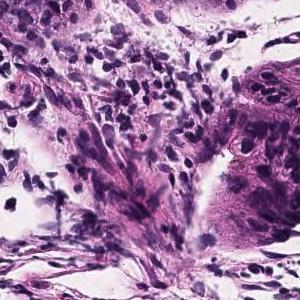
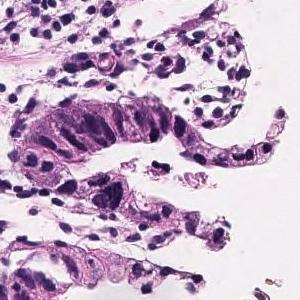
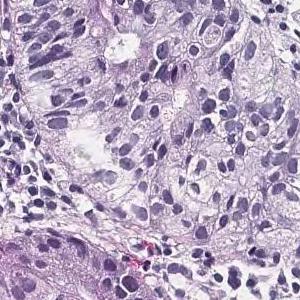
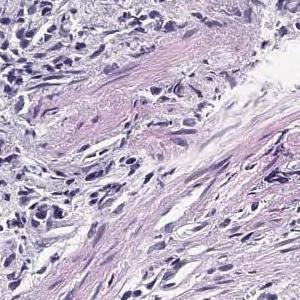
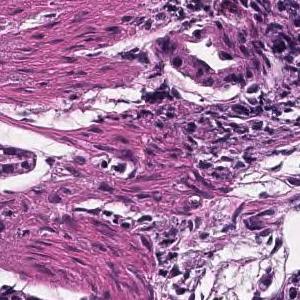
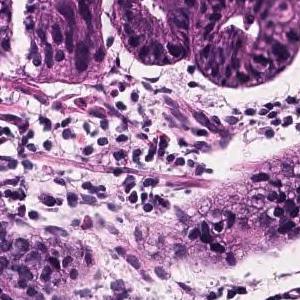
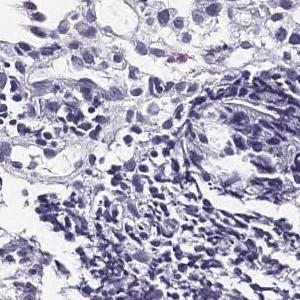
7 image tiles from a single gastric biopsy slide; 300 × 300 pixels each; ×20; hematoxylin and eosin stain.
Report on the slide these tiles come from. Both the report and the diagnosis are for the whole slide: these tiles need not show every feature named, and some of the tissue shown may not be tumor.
Tumor cells are large, highly columnar, large club-shaped nuclei, and are associated with chromatin aggregation. Papillary adenocarcinoma.
